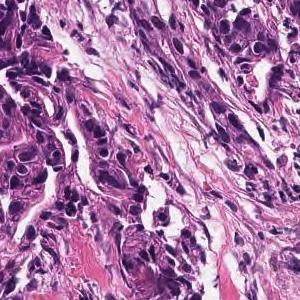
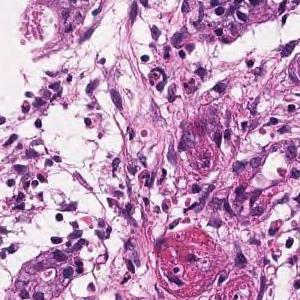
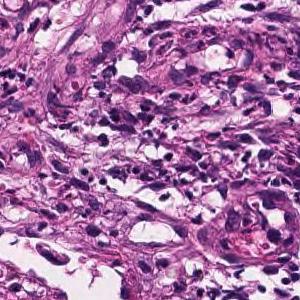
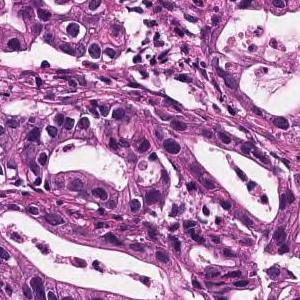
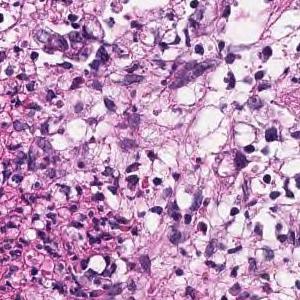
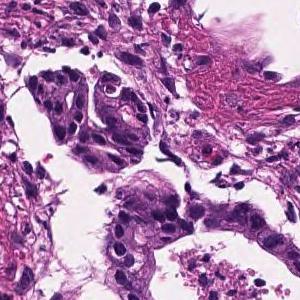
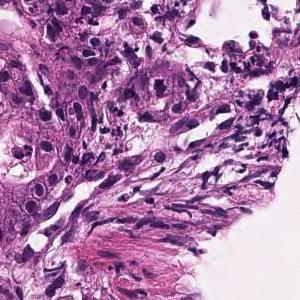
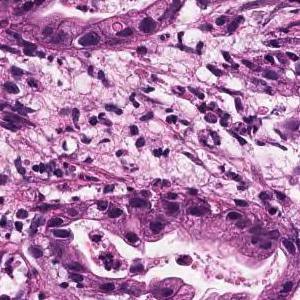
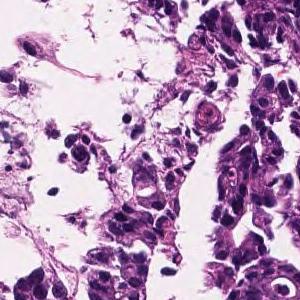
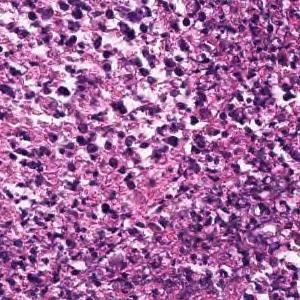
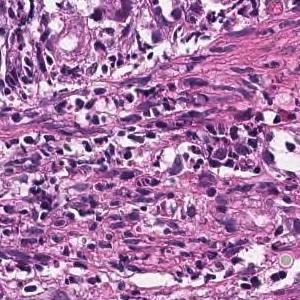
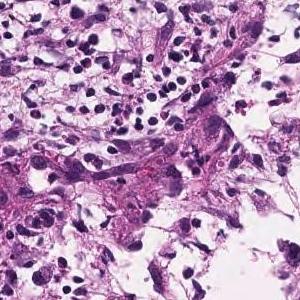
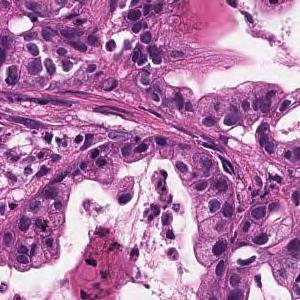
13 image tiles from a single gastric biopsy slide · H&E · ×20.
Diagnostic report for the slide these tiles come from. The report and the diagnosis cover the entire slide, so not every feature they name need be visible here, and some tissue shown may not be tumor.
In the superficial epithelium, medium to small, irregular gland ducts are formed, and in some cases, the gland ducts are fused to show solid alveolar lesions and infiltrating tumor tissue is observed. Moderately to poorly differentiated adenocarcinoma.
